16 tiles from the same stomach biopsy slide, each 300 × 300 pixels.
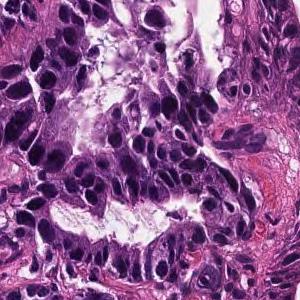
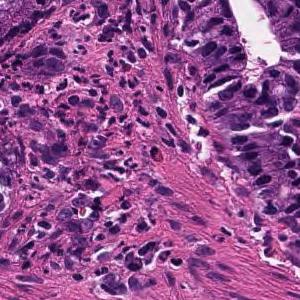
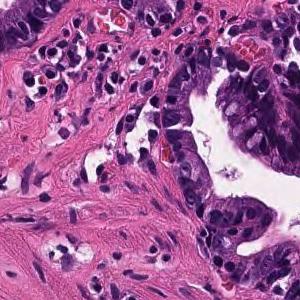
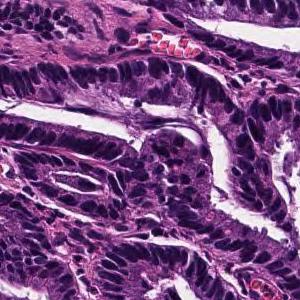
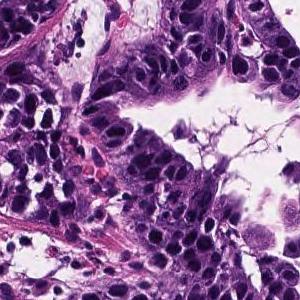
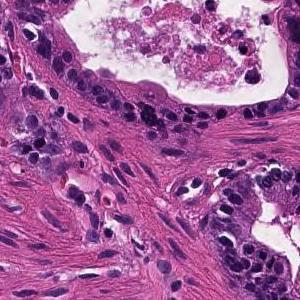
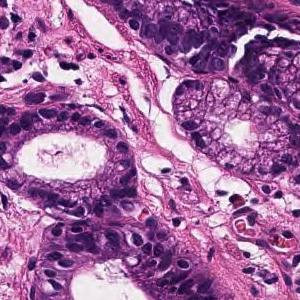
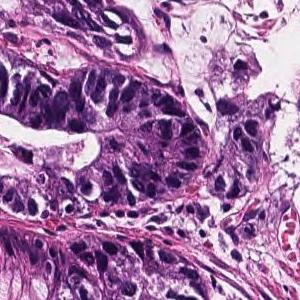
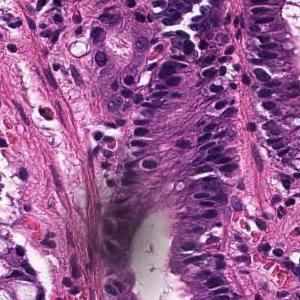
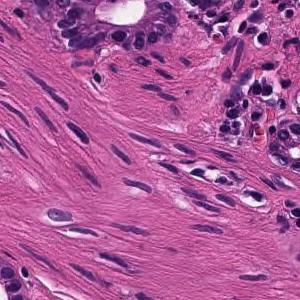
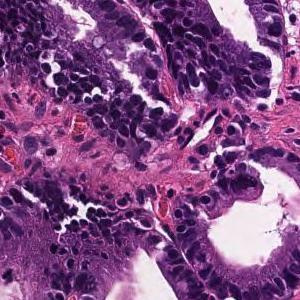
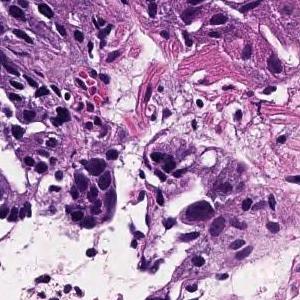
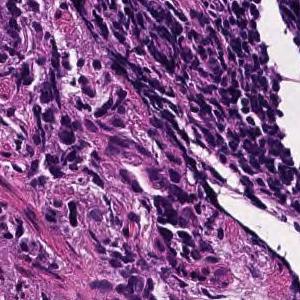
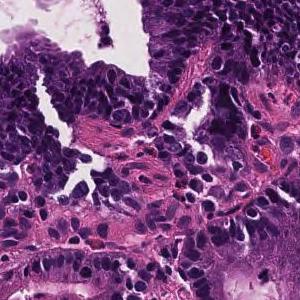
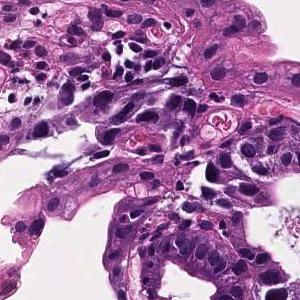
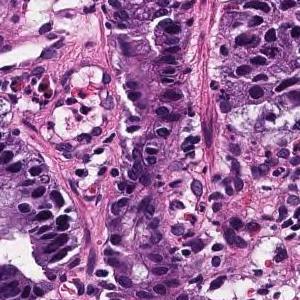
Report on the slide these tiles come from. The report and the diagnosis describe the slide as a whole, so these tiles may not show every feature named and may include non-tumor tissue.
Tumor cells are large, highly columnar, large club-shaped nuclei, and are associated with chromatin aggregation. Papillary adenocarcinoma.
